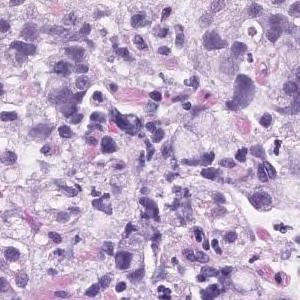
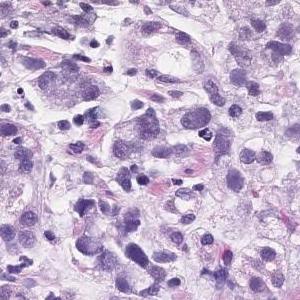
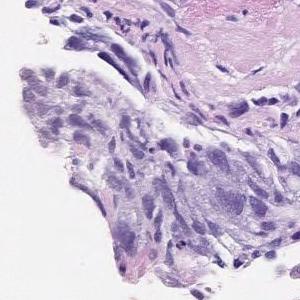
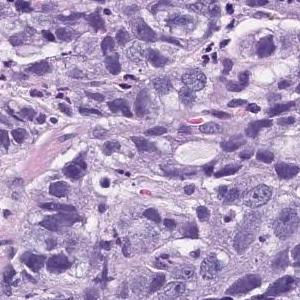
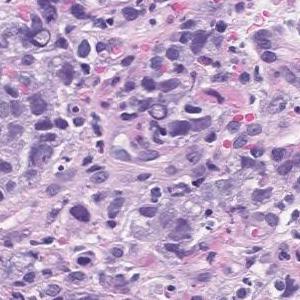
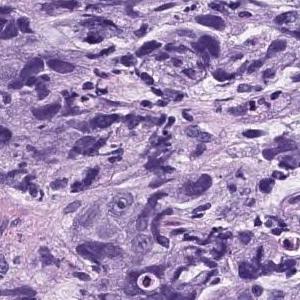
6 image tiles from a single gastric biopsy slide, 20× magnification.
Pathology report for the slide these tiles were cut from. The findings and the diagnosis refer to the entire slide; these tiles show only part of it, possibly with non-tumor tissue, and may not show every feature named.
Atypical l cells with atypical nuclei forming solid vesicles or small irregular atypical ducts that proliferate in a complex manner. poorly differentiated adenocarcinoma, solid type, moderately differentiated tubular adenocarcinoma
The term "solid type" comes from the Japanese Classification of Gastric Carcinoma; the WHO 2019 equivalent is tubular adenocarcinoma, poorly differentiated.
